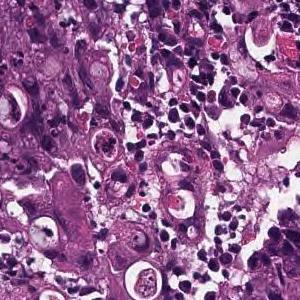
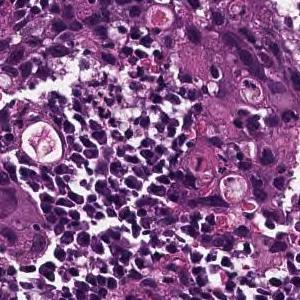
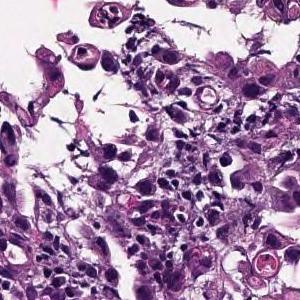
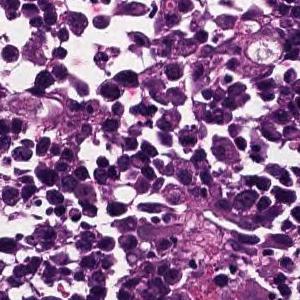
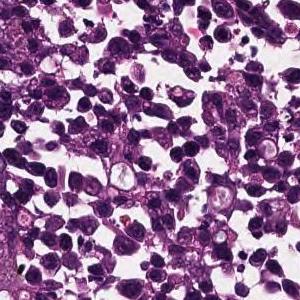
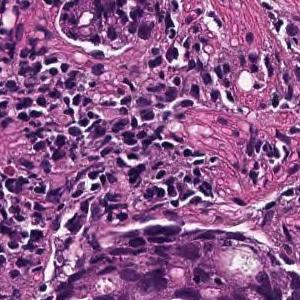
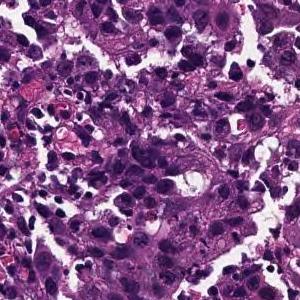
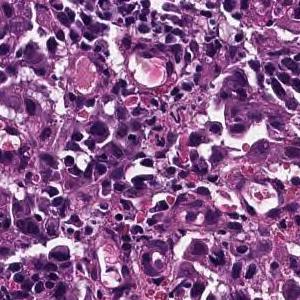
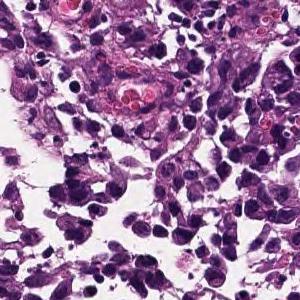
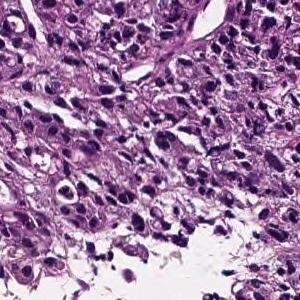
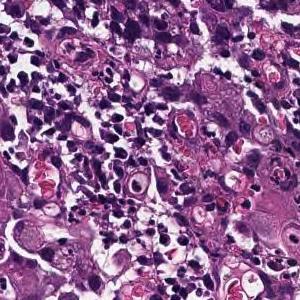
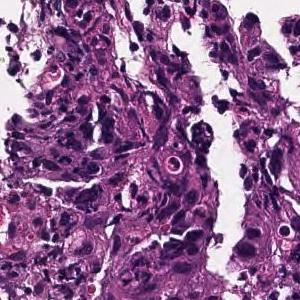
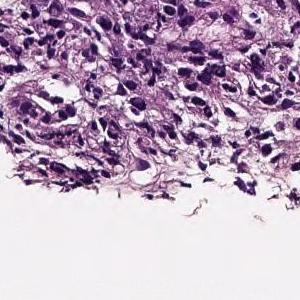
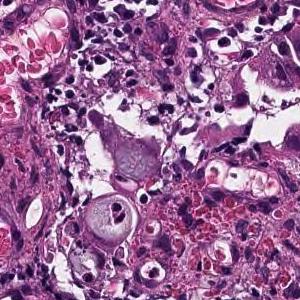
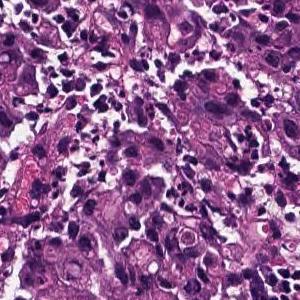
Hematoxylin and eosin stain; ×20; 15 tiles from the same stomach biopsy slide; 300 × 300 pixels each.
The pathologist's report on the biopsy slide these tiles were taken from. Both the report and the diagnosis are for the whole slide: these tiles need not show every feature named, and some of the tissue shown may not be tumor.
The superficial epithelium shows a large sheet-like shape, and some tumor tissue infiltrates with small irregular ducts. Poorly differentiated adenocarcinoma, solid-type
Classified as poorly differentiated adenocarcinoma, solid type (Japanese Classification of Gastric Carcinoma). The WHO 2019 equivalent is tubular adenocarcinoma, poorly differentiated.
